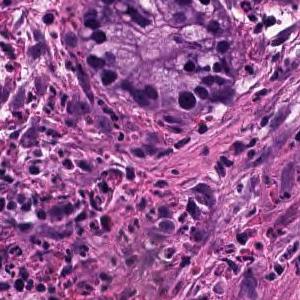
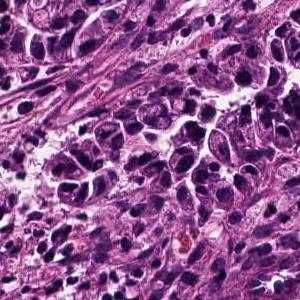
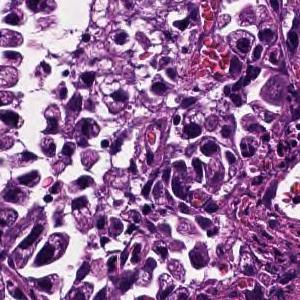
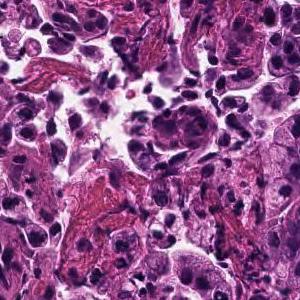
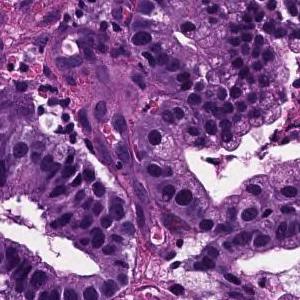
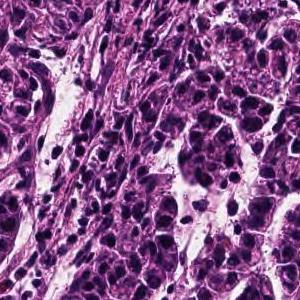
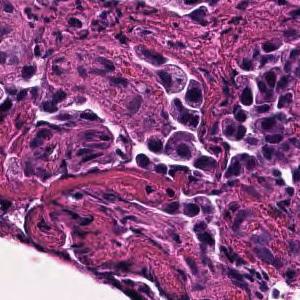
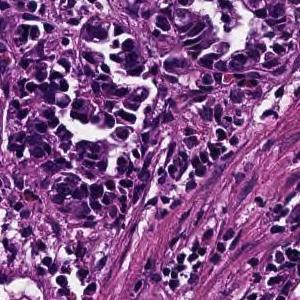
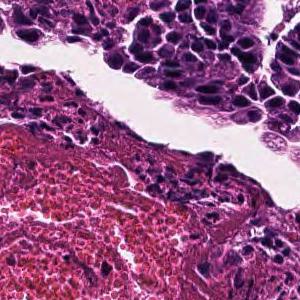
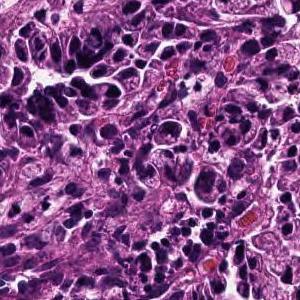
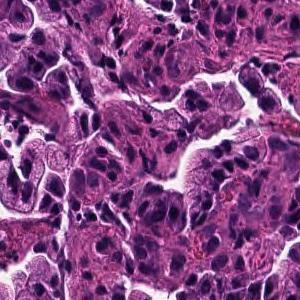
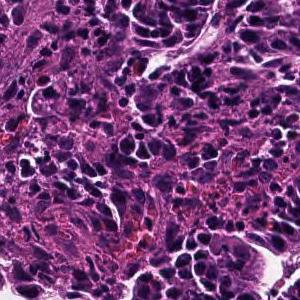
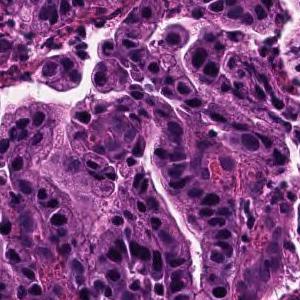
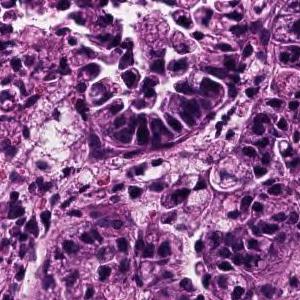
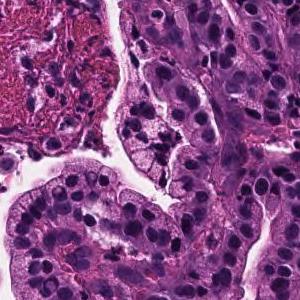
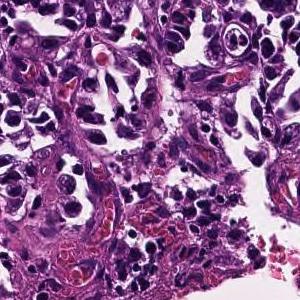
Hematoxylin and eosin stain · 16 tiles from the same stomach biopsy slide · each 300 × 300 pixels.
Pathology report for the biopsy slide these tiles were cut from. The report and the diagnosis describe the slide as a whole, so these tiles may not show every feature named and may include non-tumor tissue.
Tumor cells are large, highly columnar, large club-shaped nuclei, and are associated with chromatin aggregation. Papillary adenocarcinoma.
